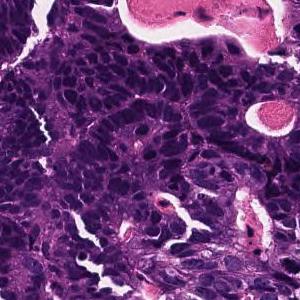
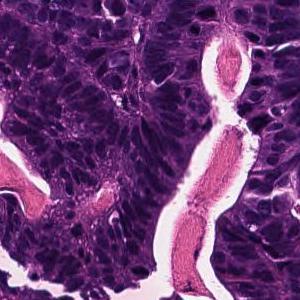
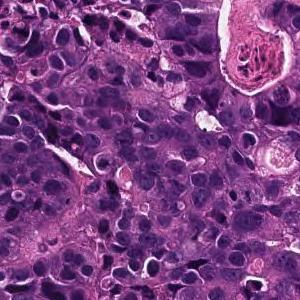
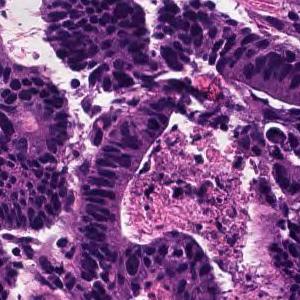
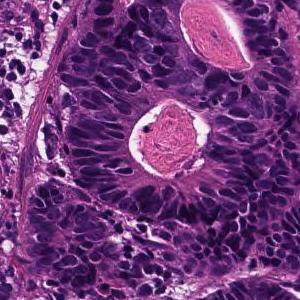
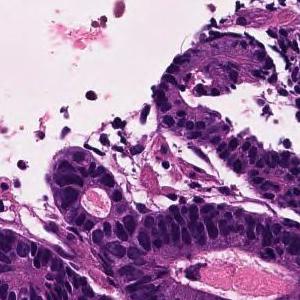
6 tiles cut from one stomach biopsy slide; 300 × 300 pixels each; hematoxylin and eosin stain; scanned at ×20.
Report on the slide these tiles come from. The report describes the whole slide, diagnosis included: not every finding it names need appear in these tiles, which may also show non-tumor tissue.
In the superficial epithelium, tumor tissue that invades by forming medium-sized to small, irregular ducts is observed. moderately differentiated tubular adenocarcinoma.
